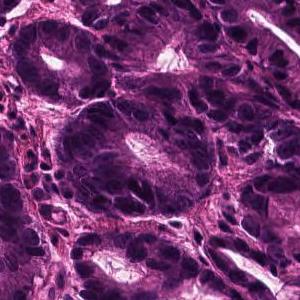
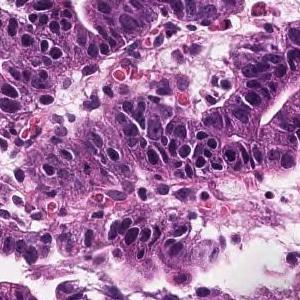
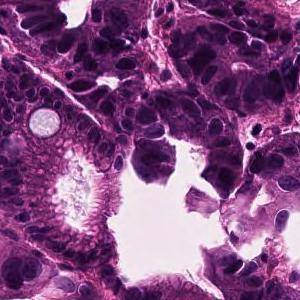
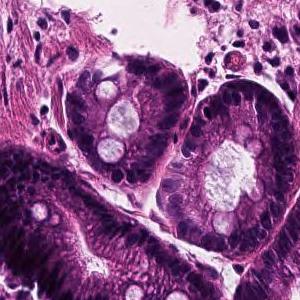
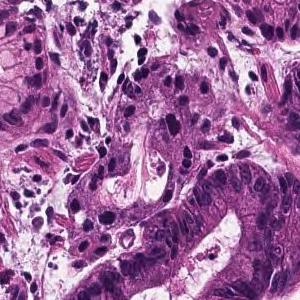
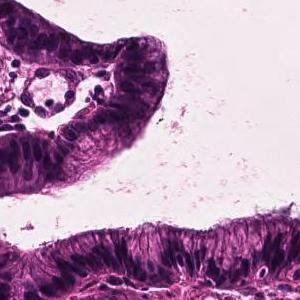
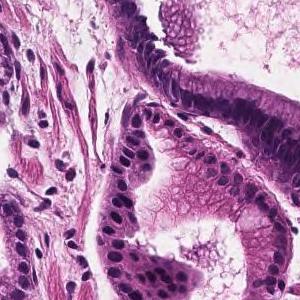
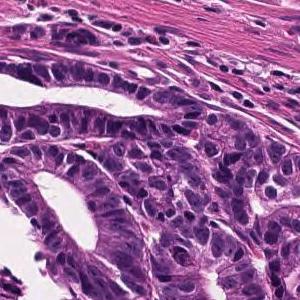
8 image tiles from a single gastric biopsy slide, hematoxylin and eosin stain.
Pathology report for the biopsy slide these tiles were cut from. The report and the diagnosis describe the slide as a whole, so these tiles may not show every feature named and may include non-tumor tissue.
In the superficial epithelium, tumor tissue that invades by forming medium-sized to small, irregular ducts is observed. Well differentiated tubular adenocarcinoma.
